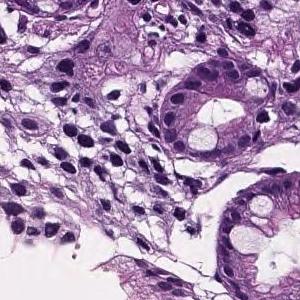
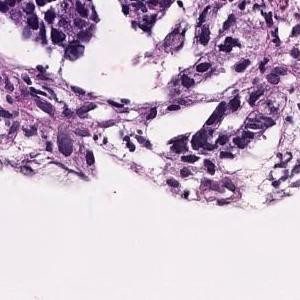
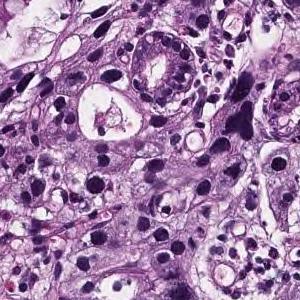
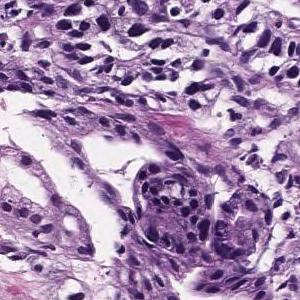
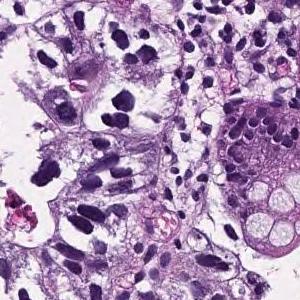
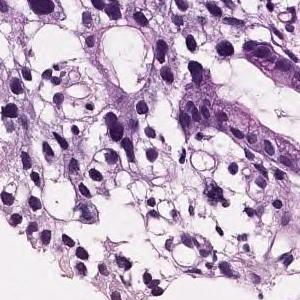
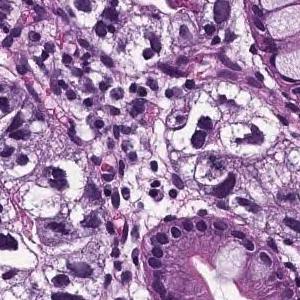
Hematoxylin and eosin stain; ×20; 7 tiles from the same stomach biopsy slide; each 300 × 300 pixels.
Pathology report for the biopsy slide these tiles were cut from. The report and the diagnosis cover the entire slide, so not every feature they name need be visible here, and some tissue shown may not be tumor.
In the superficial epithelium, medium to small irregular gland ducts are formed, and in some cases, the ducts are fused to show solid alveolar lesions and infiltrating tumor tissue is observed. Moderately to poorly differentiated adenocarcinoma
